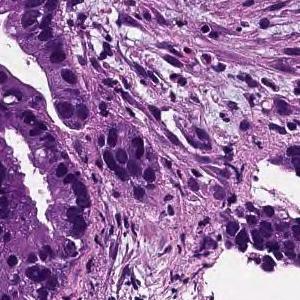
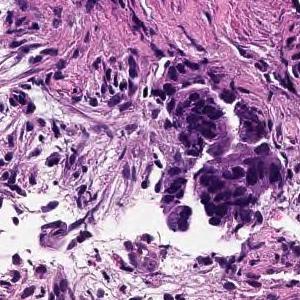
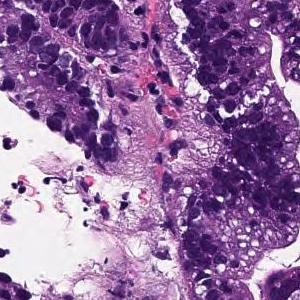
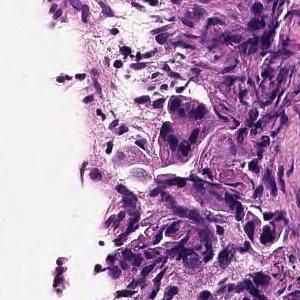
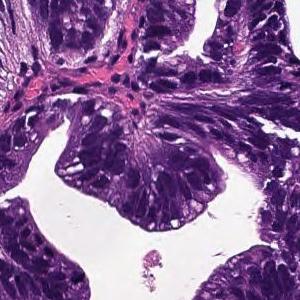
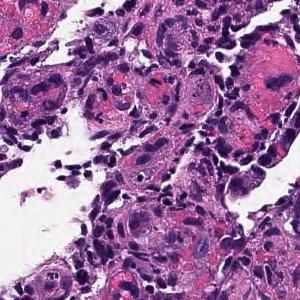
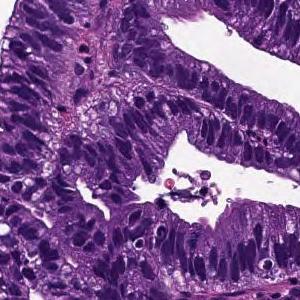
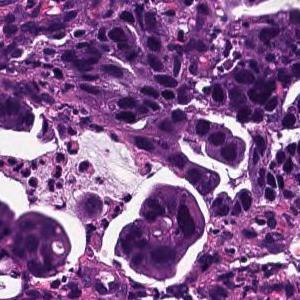
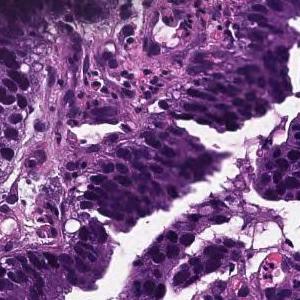
9 patches cut from one gastric biopsy slide, each 300 × 300 pixels, scanned at ×20, H&E.
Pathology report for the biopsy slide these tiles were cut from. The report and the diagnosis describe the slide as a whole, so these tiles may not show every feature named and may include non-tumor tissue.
Tumor cells are large, highly columnar, large club-shaped nuclei, and are associated with chromatin aggregation. Papillary adenocarcinoma.
